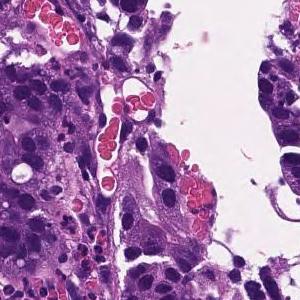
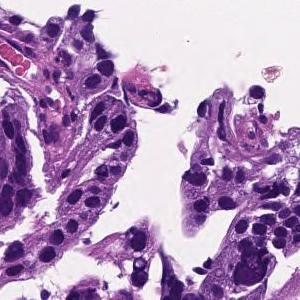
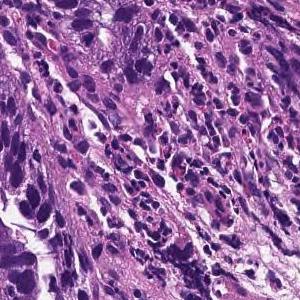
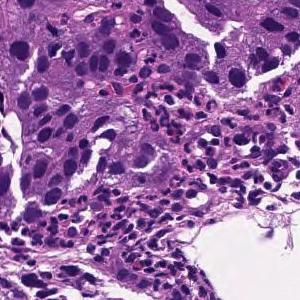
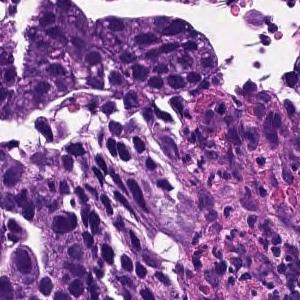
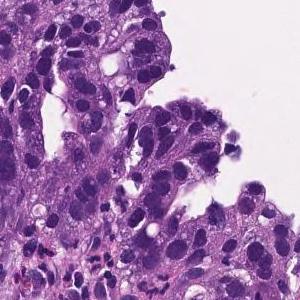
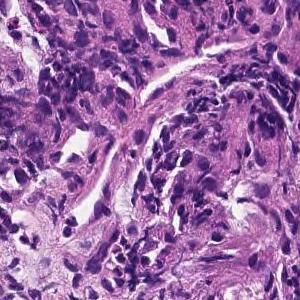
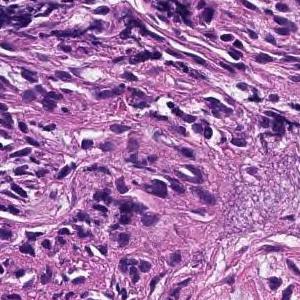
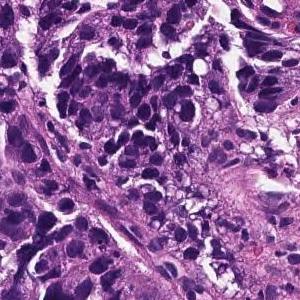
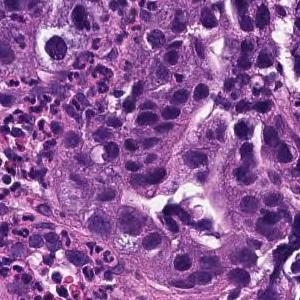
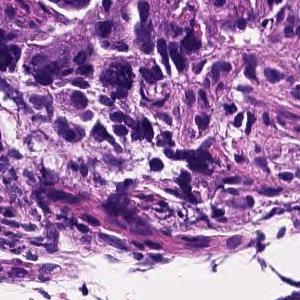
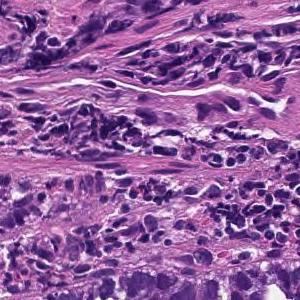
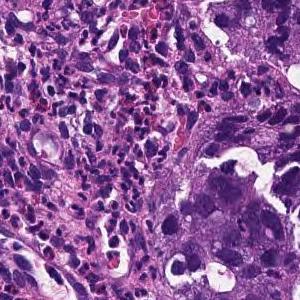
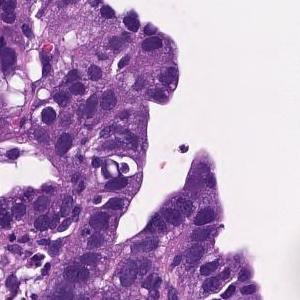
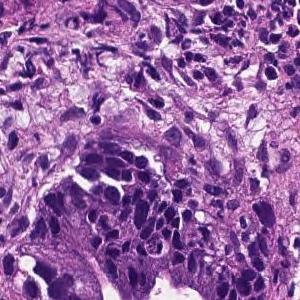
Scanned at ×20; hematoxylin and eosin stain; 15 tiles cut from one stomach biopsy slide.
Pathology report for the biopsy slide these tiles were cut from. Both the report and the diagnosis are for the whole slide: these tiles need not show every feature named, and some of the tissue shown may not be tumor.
Tumor tissue consisting of large papillary structures is found in the superficial epithelium. Papillary adenocarcinoma.
